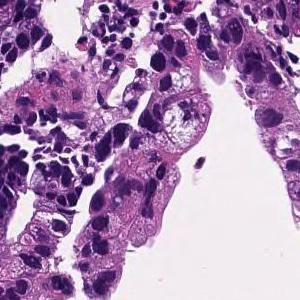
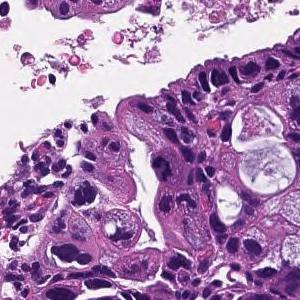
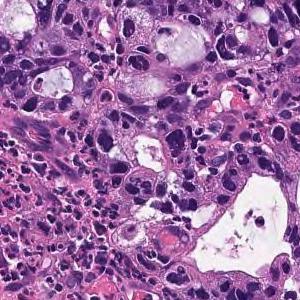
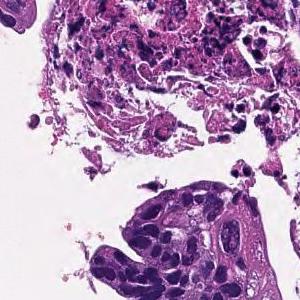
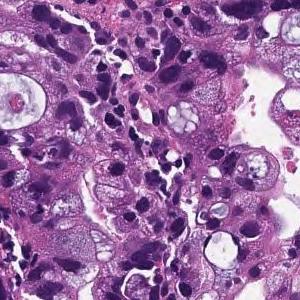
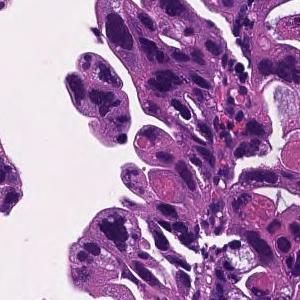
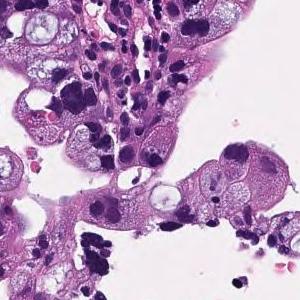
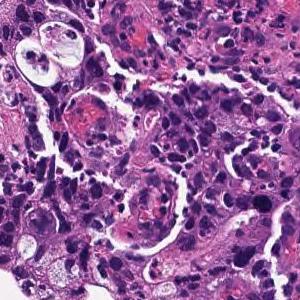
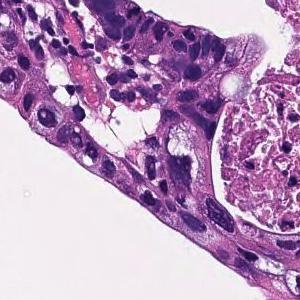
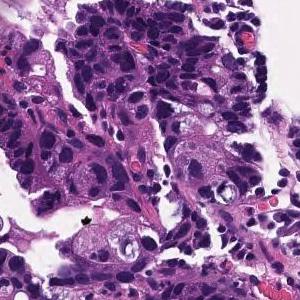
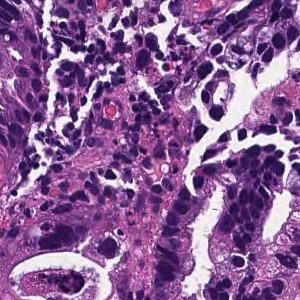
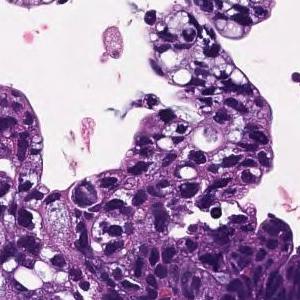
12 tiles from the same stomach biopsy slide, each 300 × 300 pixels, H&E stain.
Pathology report for the biopsy slide these tiles were cut from. What the report and the diagnosis say applies to the whole slide; these tiles may miss some of the features named and may include tissue that is not tumor.
In the superficial epithelium, tumor tissue that invades by forming medium-sized to small, irregular ducts is observed. moderately differentiated tubular adenocarcinoma.
